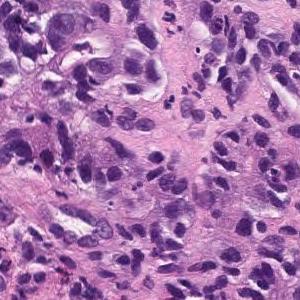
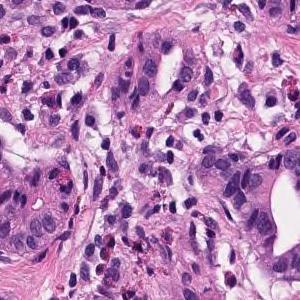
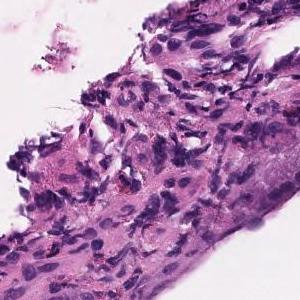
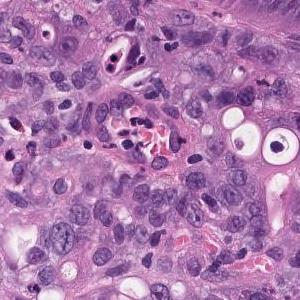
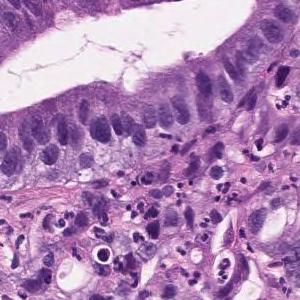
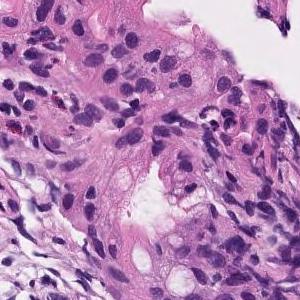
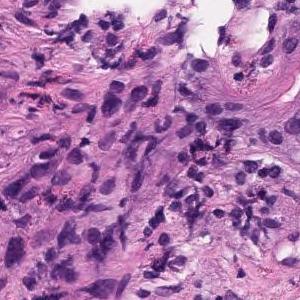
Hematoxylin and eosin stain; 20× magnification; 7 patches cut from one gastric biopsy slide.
Pathology report for the biopsy slide these tiles were cut from. The findings and the diagnosis refer to the entire slide; these tiles show only part of it, possibly with non-tumor tissue, and may not show every feature named.
moderately differentiated tubular adenocarcinoma, Poorly differentiated adenocarcinoma
The dataset labels this slide poorly differentiated adenocarcinoma, solid type (Japanese Classification of Gastric Carcinoma). The WHO 2019 equivalent is tubular adenocarcinoma, poorly differentiated.
